×20 · hematoxylin and eosin stain · 7 tiles cut from one stomach biopsy slide.
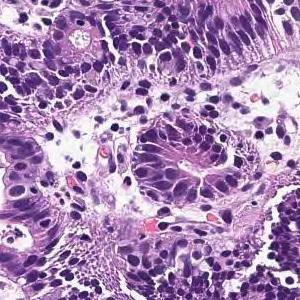
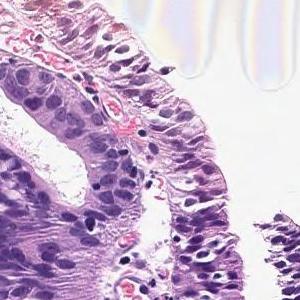
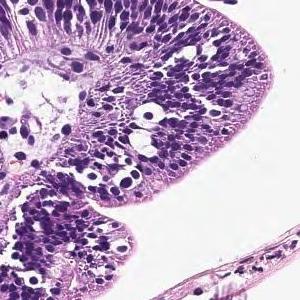
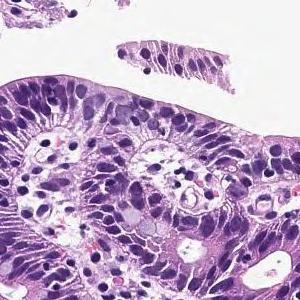
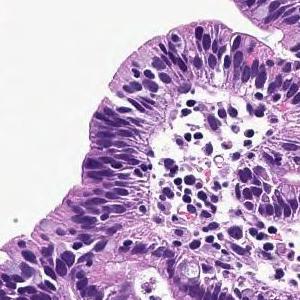
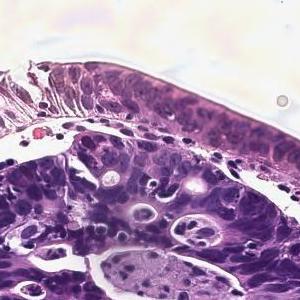
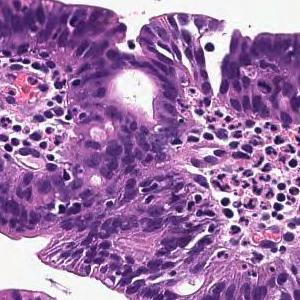
The pathologist's report on the biopsy slide these tiles were taken from. What the report and the diagnosis say applies to the whole slide; these tiles may miss some of the features named and may include tissue that is not tumor.
Infiltrating tumor tissue is observed in the superficial epithelium, showing large papillary structures or large and small ducts. Papillary adenocarcinoma
